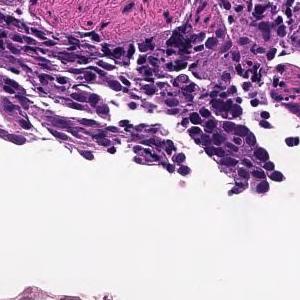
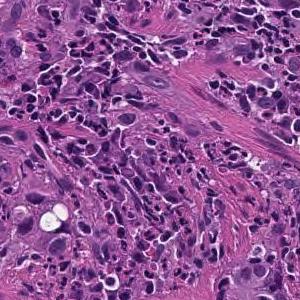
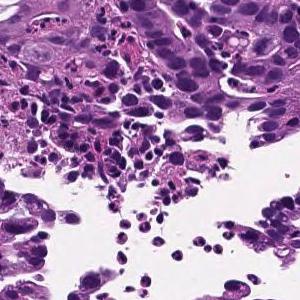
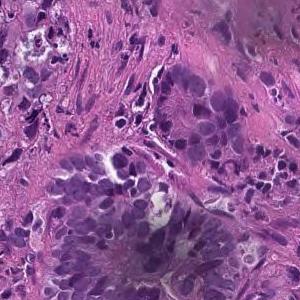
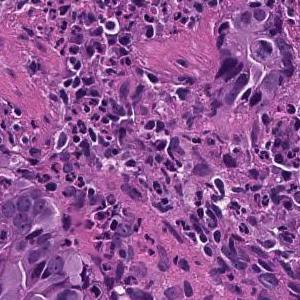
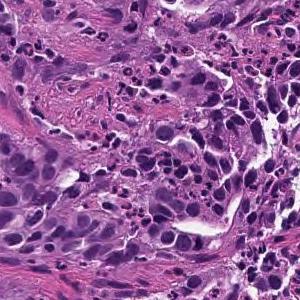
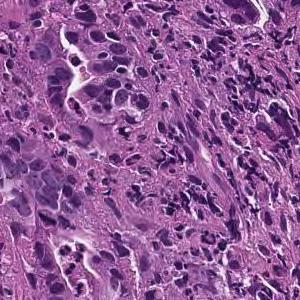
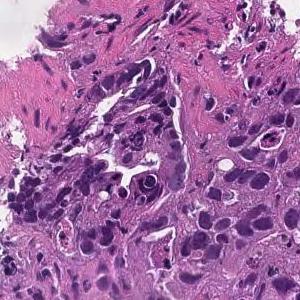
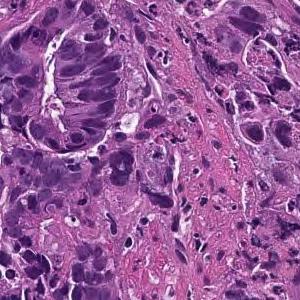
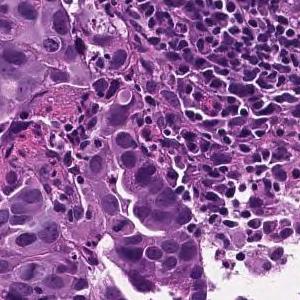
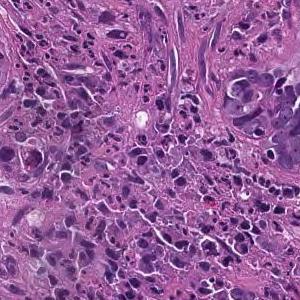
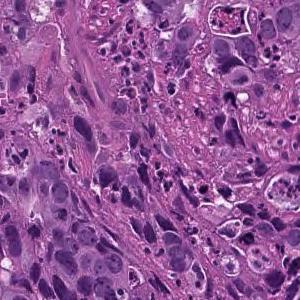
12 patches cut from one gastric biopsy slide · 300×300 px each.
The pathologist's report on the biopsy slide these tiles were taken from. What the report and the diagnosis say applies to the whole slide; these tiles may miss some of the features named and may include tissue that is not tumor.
Tumor tissue consisting of medium-sized, cord-like or irregular glandular infiltration is observed in the superficial epithelium. Poorly differentiated adenocarcinoma, non-solid type or moderately differentiated tubular adenocarcinoma
Histologic type: Moderately to poorly differentiated adenocarcinoma.
The term "non-solid type" comes from the Japanese Classification of Gastric Carcinoma.
